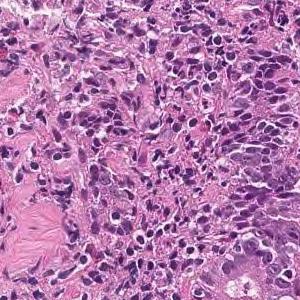
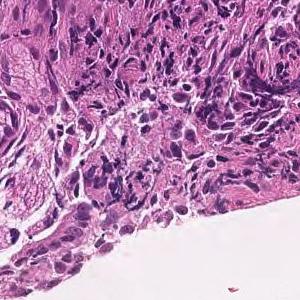
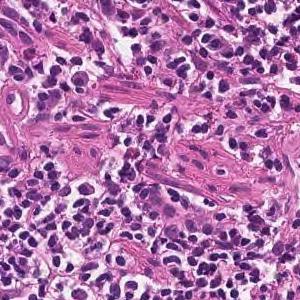
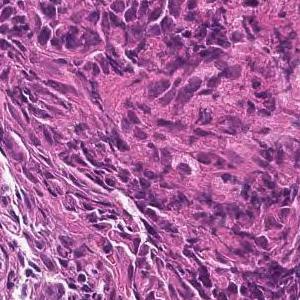
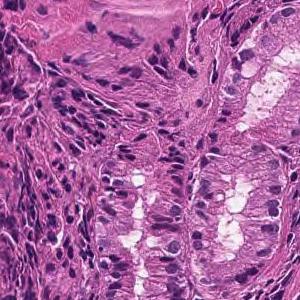
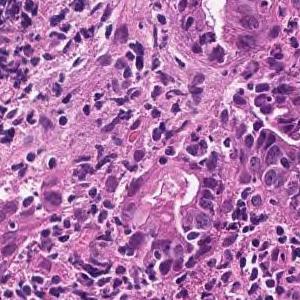
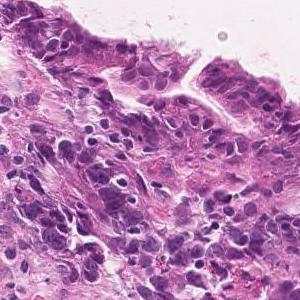
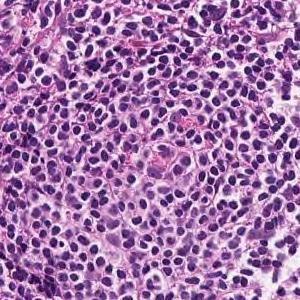
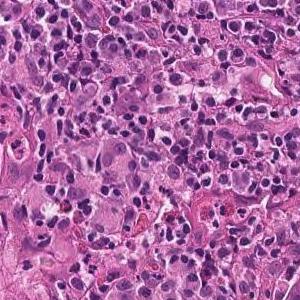
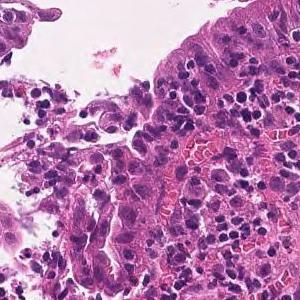
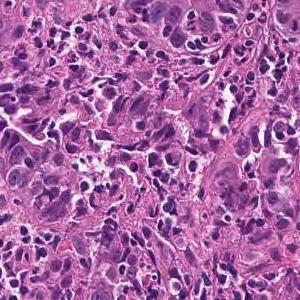
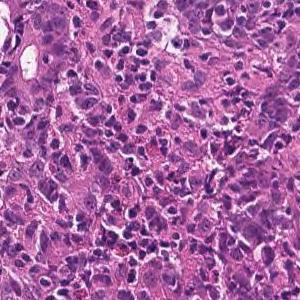
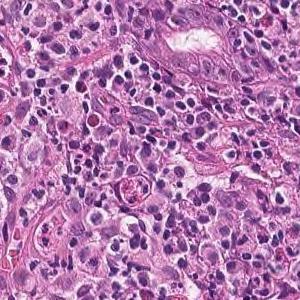
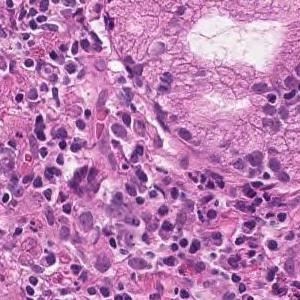
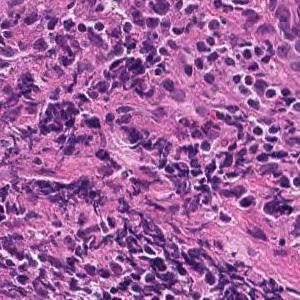
×20; H&E stain; 15 image tiles from a single gastric biopsy slide; each 300 × 300 pixels.
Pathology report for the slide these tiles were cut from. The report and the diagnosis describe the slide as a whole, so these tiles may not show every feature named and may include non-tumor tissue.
Tumor tissue consisting of medium-sized, cord-like or irregular glandular infiltration is observed in the superficial epithelium. Poorly differentiated adenocarcinoma, non-solid type or moderately differentiated tubular adenocarcinoma
The dataset labels this slide poorly differentiated adenocarcinoma, non-solid type.
The non-solid type named here is a Japanese Classification of Gastric Carcinoma category.
